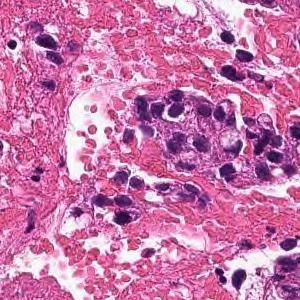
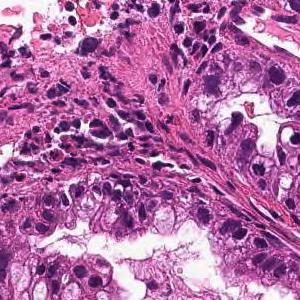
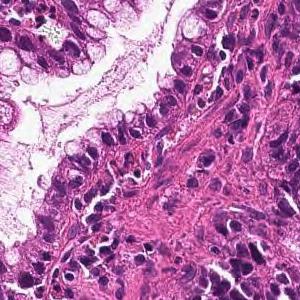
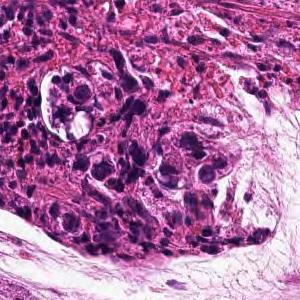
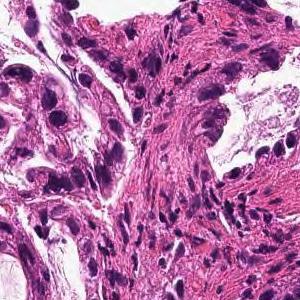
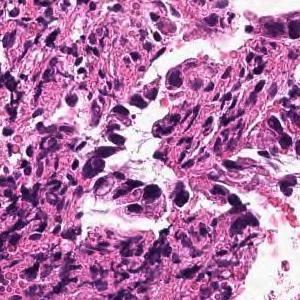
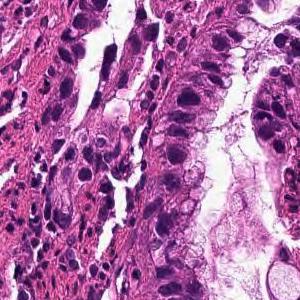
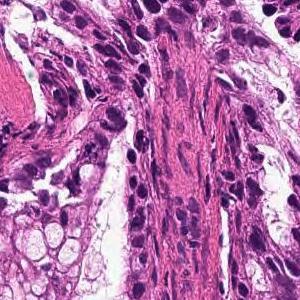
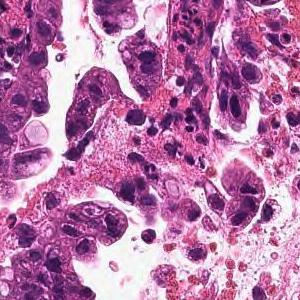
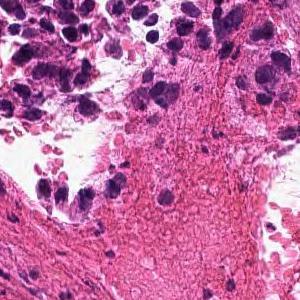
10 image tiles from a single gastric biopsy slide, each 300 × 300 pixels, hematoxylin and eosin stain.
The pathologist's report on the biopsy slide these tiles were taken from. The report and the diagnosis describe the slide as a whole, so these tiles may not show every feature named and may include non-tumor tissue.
From the superficial epithelium to the muscularis mucosae, tumor tissue infiltrating by forming medium-sized irregular gland ducts is observed. Well differentiated tubular adenocarcinoma
